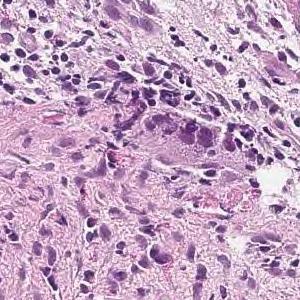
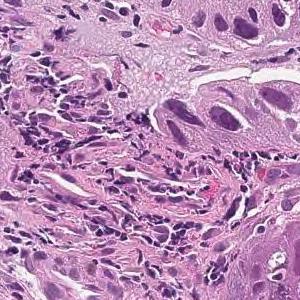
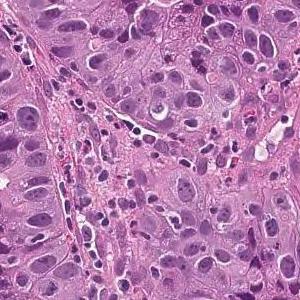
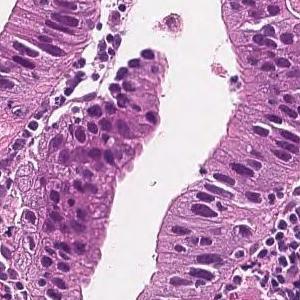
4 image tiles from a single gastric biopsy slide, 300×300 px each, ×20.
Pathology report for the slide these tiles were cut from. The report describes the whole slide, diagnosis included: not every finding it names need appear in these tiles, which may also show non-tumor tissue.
In the superficial epithelium, tumor tissue that invades by forming medium-sized to small, irregular ducts is observed. moderately differentiated tubular adenocarcinoma.
